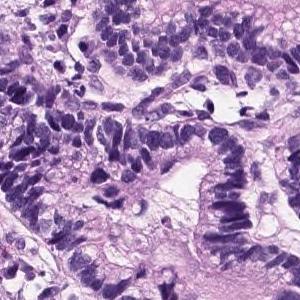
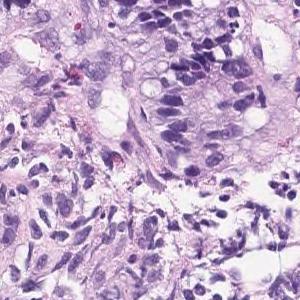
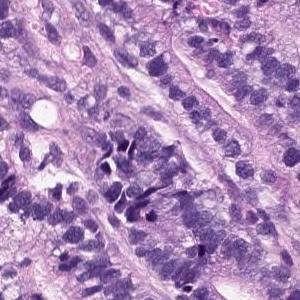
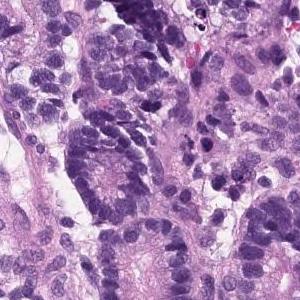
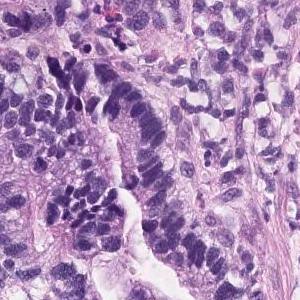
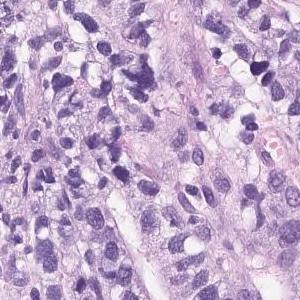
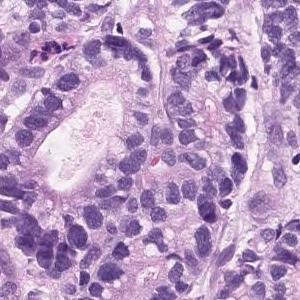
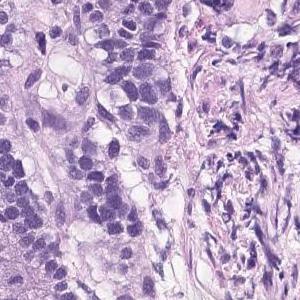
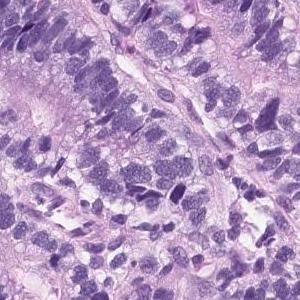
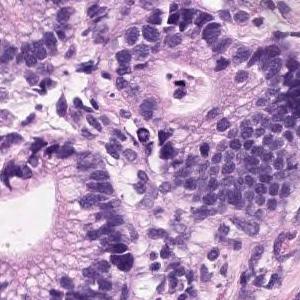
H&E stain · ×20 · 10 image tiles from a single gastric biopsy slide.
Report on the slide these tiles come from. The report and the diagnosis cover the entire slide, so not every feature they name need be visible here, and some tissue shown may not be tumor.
Hyperplasia of atypical epithelial cells with swelling of the nucleus is observed. Moderately diffentiated tubular adenocarcinoma
Classified as moderately differentiated tubular adenocarcinoma.
